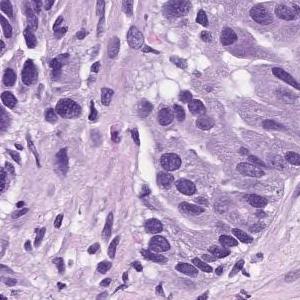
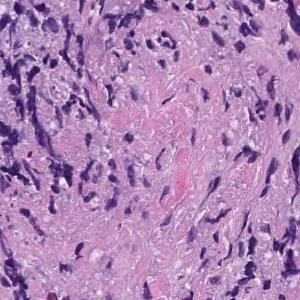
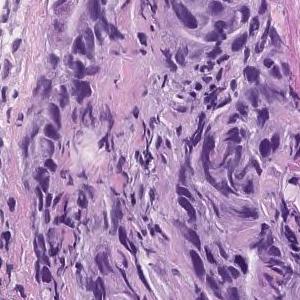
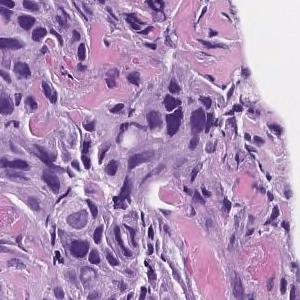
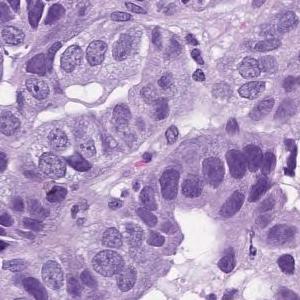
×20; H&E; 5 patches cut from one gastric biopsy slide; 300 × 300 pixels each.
Pathology report for the biopsy slide these tiles were cut from. The report and the diagnosis cover the entire slide, so not every feature they name need be visible here, and some tissue shown may not be tumor.
In the superficial epithelium, tumor tissue that invades by forming medium-sized to small, irregular ducts is observed. moderately differentiated tubular adenocarcinoma.
